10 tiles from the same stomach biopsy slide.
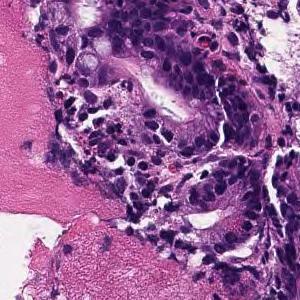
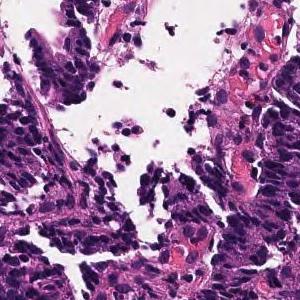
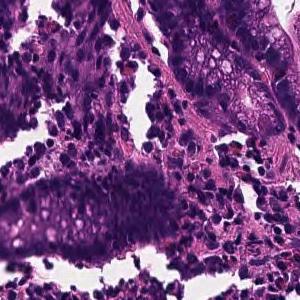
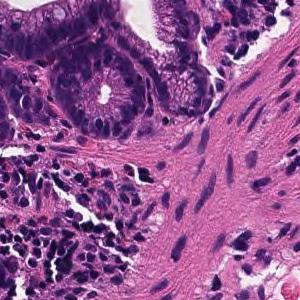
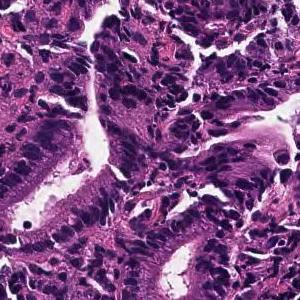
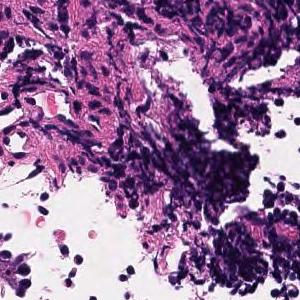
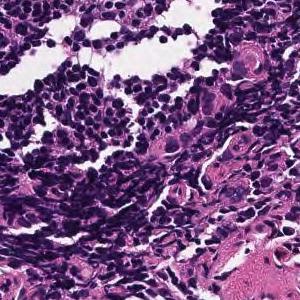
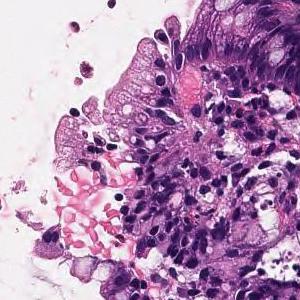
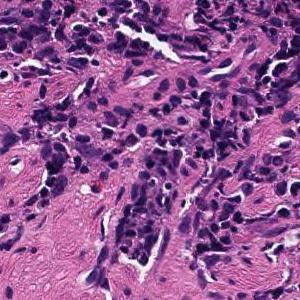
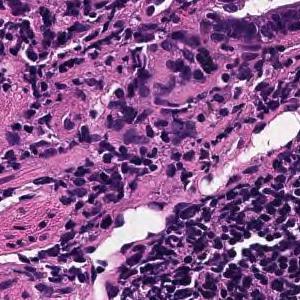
The pathologist's report on the biopsy slide these tiles were taken from. The report and the diagnosis cover the entire slide, so not every feature they name need be visible here, and some tissue shown may not be tumor.
In the superficial epithelium, tumor tissue that invades by forming medium-sized to small, irregular ducts is observed. moderately differentiated tubular adenocarcinoma.
